H&E stain; 4 image tiles from a single gastric biopsy slide.
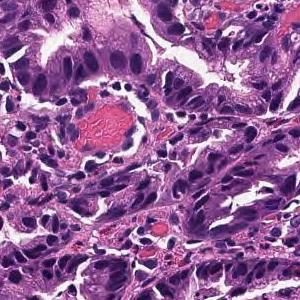
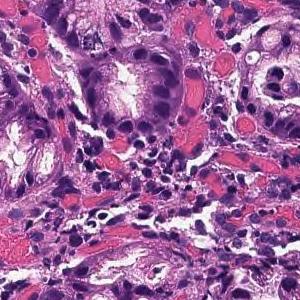
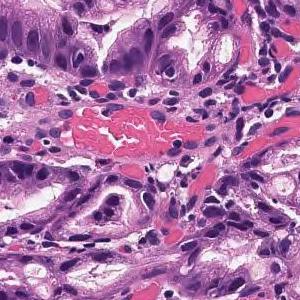
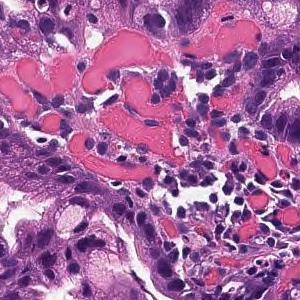
Pathology report for the slide these tiles were cut from. The report and the diagnosis cover the entire slide, so not every feature they name need be visible here, and some tissue shown may not be tumor.
In the superficial epithelium, tumor tissue that invades by forming medium-sized to small, irregular ducts is observed. moderately differentiated tubular adenocarcinoma.
